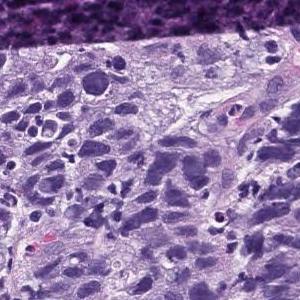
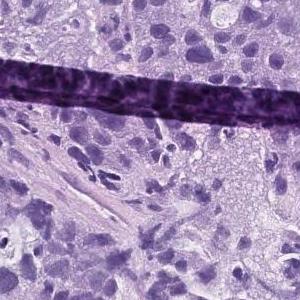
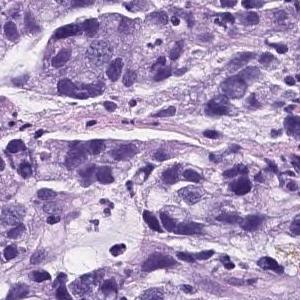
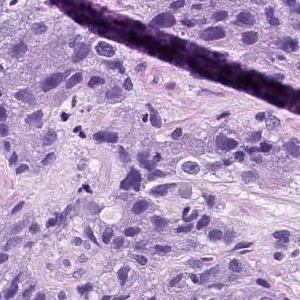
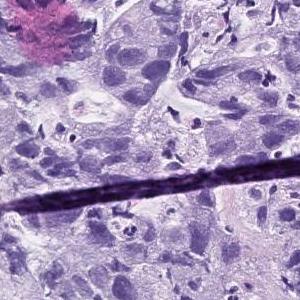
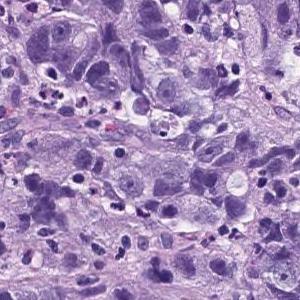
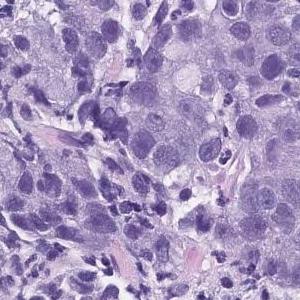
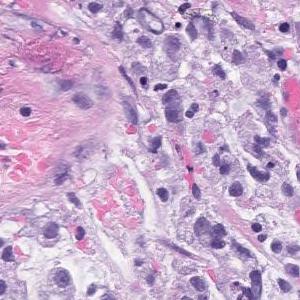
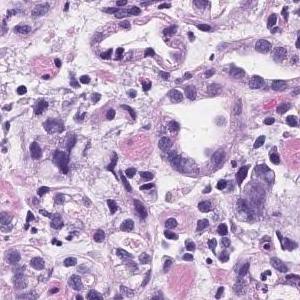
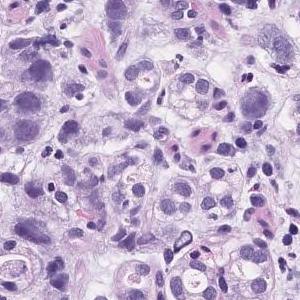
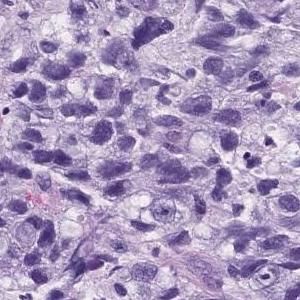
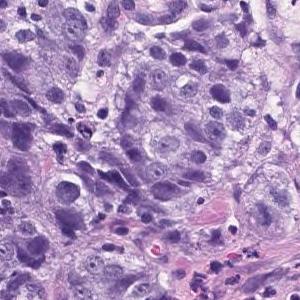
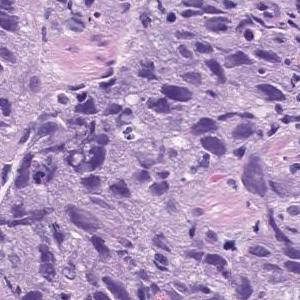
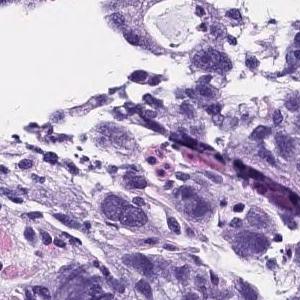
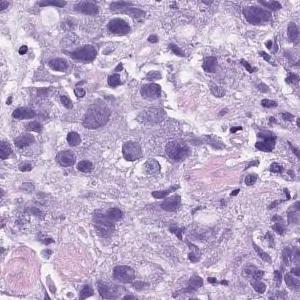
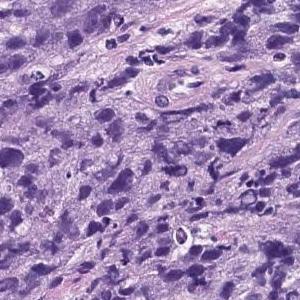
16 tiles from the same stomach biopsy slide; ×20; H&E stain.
The pathologist's report on the biopsy slide these tiles were taken from. What the report and the diagnosis say applies to the whole slide; these tiles may miss some of the features named and may include tissue that is not tumor.
Atypical l cells with atypical nuclei forming solid vesicles or small irregular atypical ducts that proliferate in a complex manner. poorly differentiated adenocarcinoma, solid type, moderately differentiated tubular adenocarcinoma
"Solid type" is a category of the Japanese Classification of Gastric Carcinoma; in the WHO 2019 classification it is tubular adenocarcinoma, poorly differentiated.
